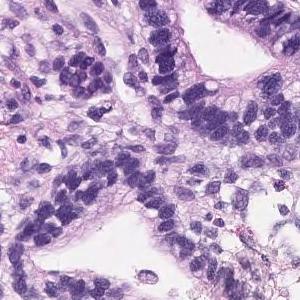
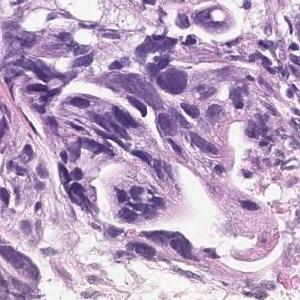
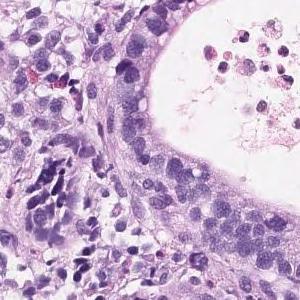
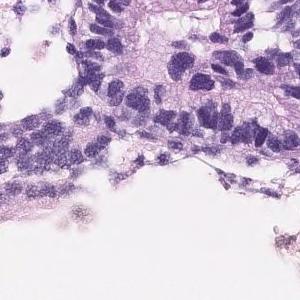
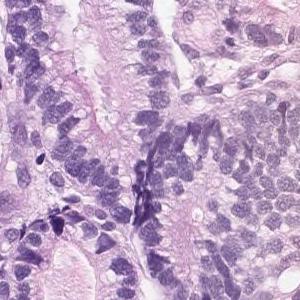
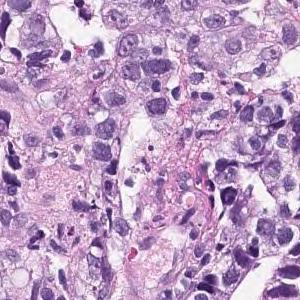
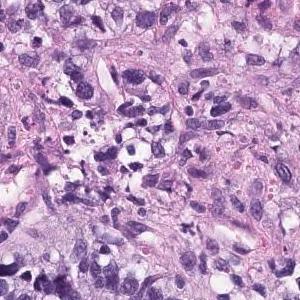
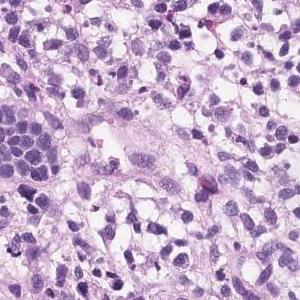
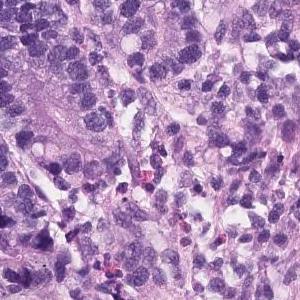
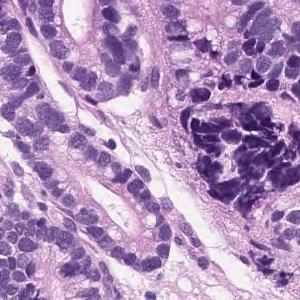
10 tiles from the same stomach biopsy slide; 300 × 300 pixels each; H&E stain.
Diagnostic report for the slide these tiles come from. The report describes the whole slide, diagnosis included: not every finding it names need appear in these tiles, which may also show non-tumor tissue.
Hyperplasia of atypical epithelial cells with swelling of the nucleus is observed. Moderately diffentiated tubular adenocarcinoma
Subtype: Moderately differentiated tubular adenocarcinoma.
